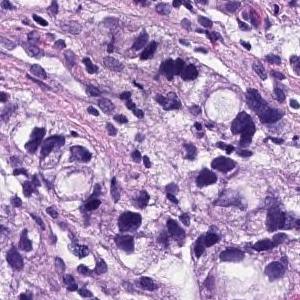
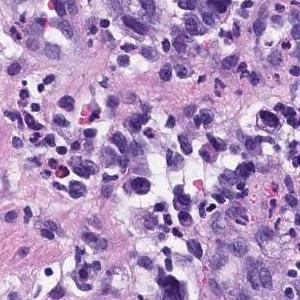
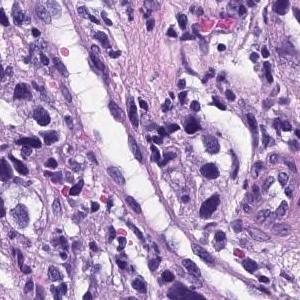
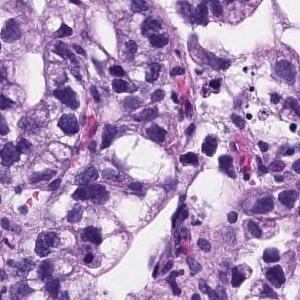
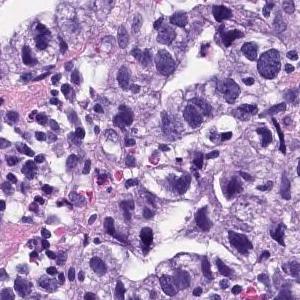
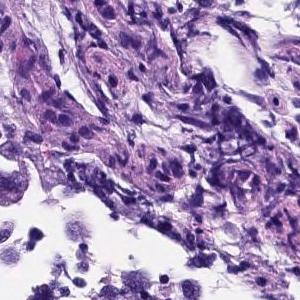
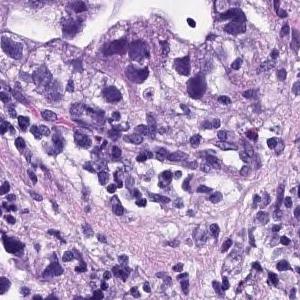
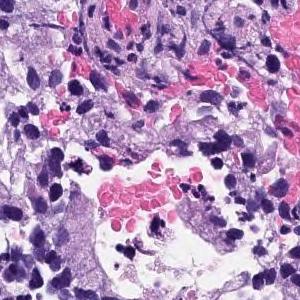
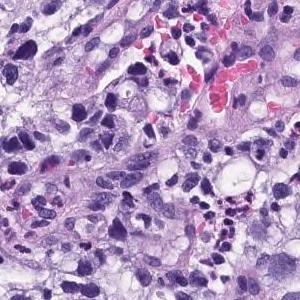
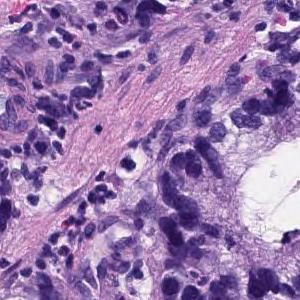
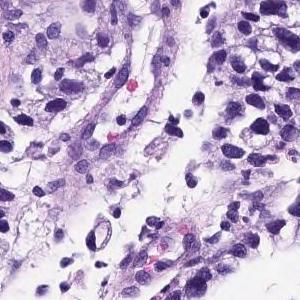
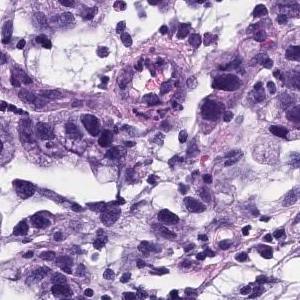
12 patches cut from one gastric biopsy slide; each 300 × 300 pixels; H&E.
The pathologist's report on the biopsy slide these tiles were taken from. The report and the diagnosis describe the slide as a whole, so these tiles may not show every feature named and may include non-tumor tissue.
Medium to small, irregular glandular ducts are formed in the superficial epithelium, and in some cases, the glandular ducts are fused to show solid alveolar lesions and infiltrating tumor tissue is observed. Poorly differentiated adenocarcinoma, Moderately differentiated adenocarcinoma.
The dataset labels this slide moderately differentiated tubular adenocarcinoma.
